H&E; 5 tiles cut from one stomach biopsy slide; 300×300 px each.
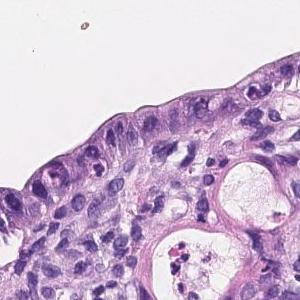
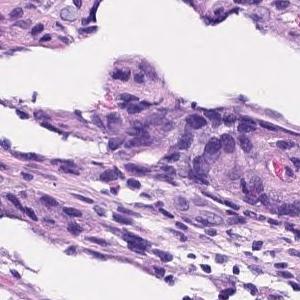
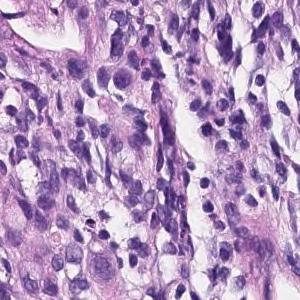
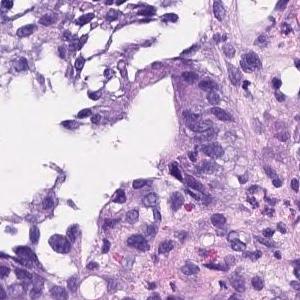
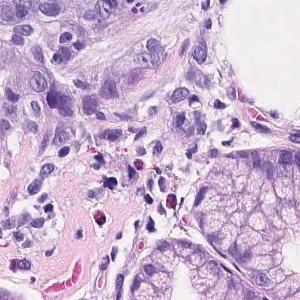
Pathology report for the slide these tiles were cut from. The report and the diagnosis cover the entire slide, so not every feature they name need be visible here, and some tissue shown may not be tumor.
Irregularly fused atypical ducts proliferating while replacing existing ducts was observed. moderately differentiated tubular adenocarcinoma
